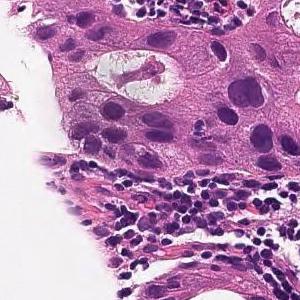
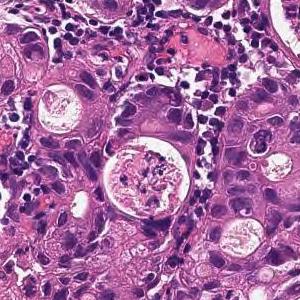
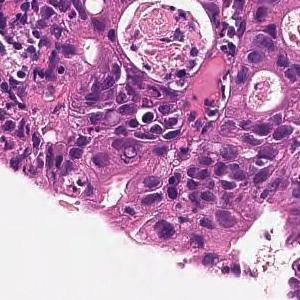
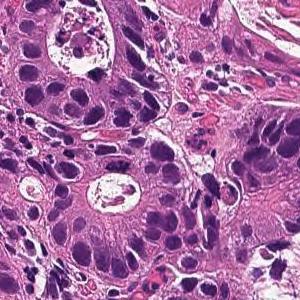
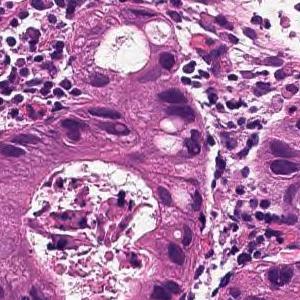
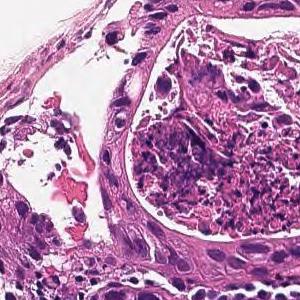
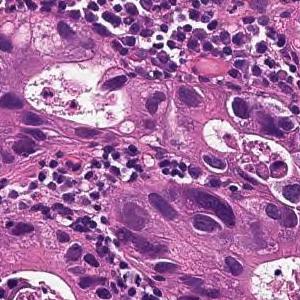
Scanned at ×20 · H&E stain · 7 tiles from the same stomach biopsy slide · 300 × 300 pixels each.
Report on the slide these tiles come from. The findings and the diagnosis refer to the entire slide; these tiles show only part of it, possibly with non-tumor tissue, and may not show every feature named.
From the superficial epithelium to the muscularis mucosae, tumor tissue consisting of medium-sized and irregular glandular ducts infiltrating is observed. Well differentiated tubular adenocarcinoma
